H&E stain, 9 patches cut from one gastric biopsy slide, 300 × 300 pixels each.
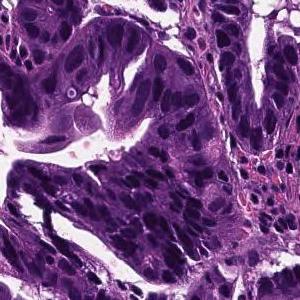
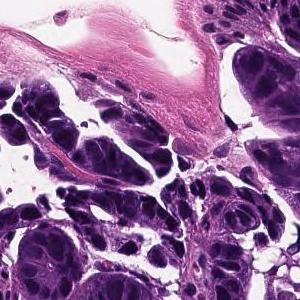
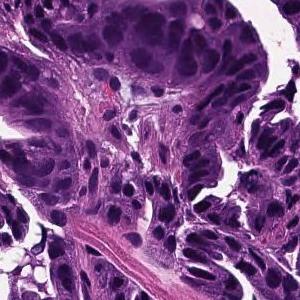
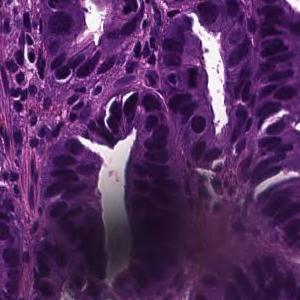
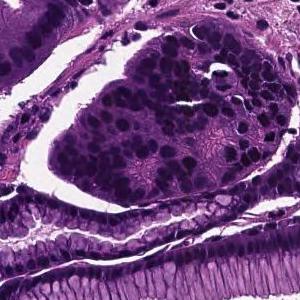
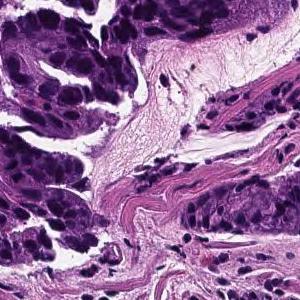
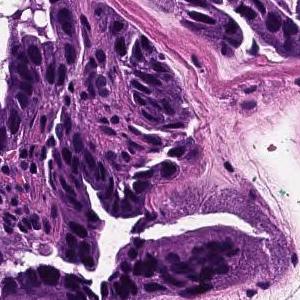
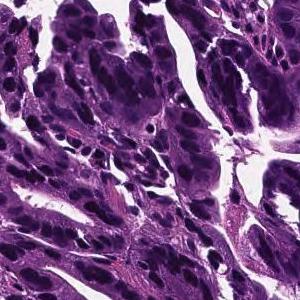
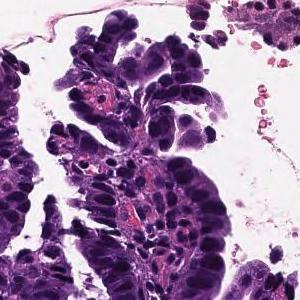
The pathologist's report on the biopsy slide these tiles were taken from. The report and the diagnosis describe the slide as a whole, so these tiles may not show every feature named and may include non-tumor tissue.
From the superficial epithelium to the muscularis mucosae, tumor tissue consisting of medium-sized and irregular glandular ducts infiltrating is observed. Well differentiated tubular adenocarcinoma
